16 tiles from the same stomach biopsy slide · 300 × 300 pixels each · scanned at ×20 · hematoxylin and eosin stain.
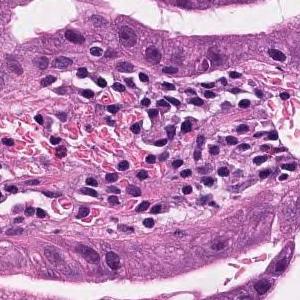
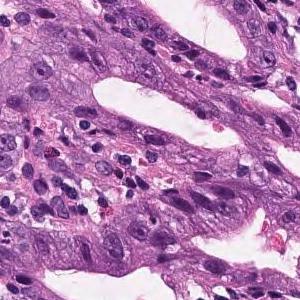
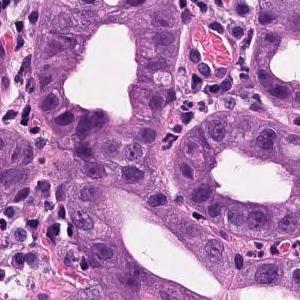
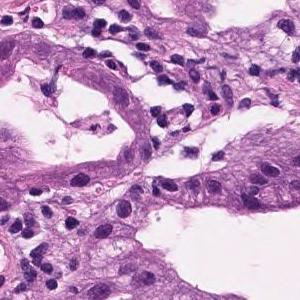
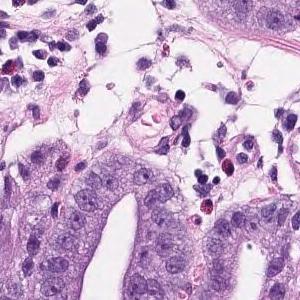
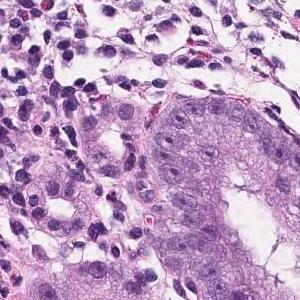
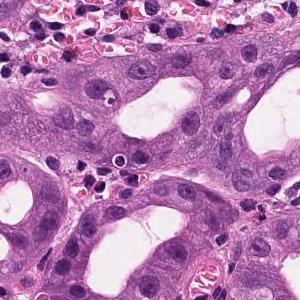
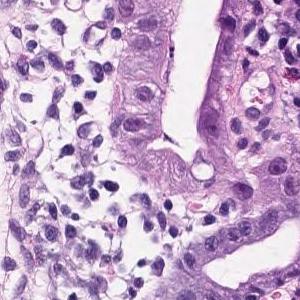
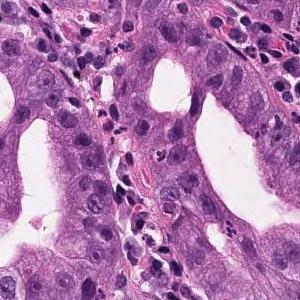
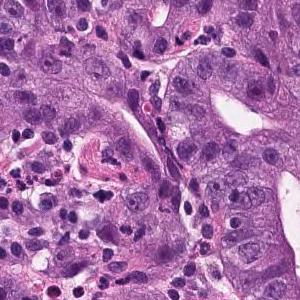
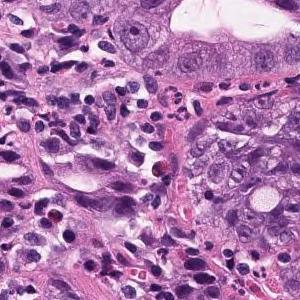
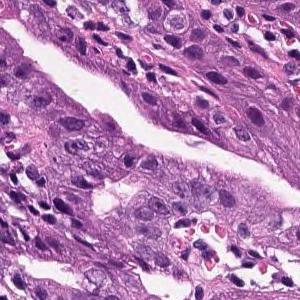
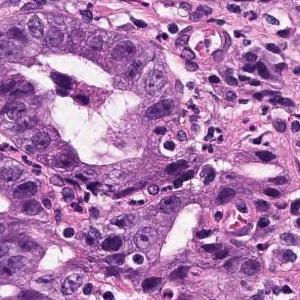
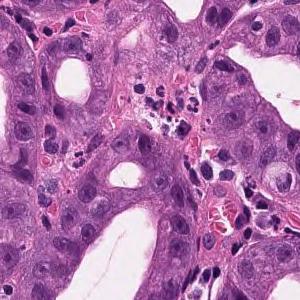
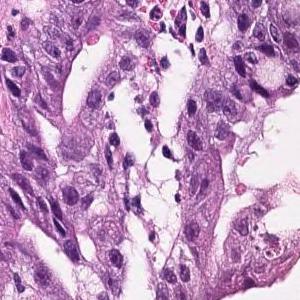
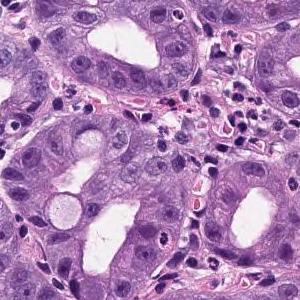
Diagnostic report for the slide these tiles come from. The report describes the whole slide, diagnosis included: not every finding it names need appear in these tiles, which may also show non-tumor tissue.
In the superficial epithelium, tumor tissue that invades by forming medium-sized to small, irregular ducts is observed. Well to moderately differentiated adenocarcinoma (well differentiated tubular adenocarcinoma, moderately differentiated tubular adenocarcinoma).
Histologic type: Well to moderately differentiated tubular adenocarcinoma.
